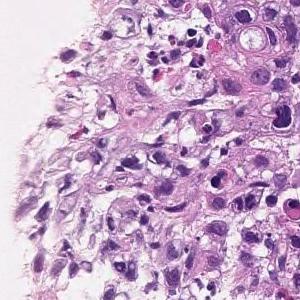
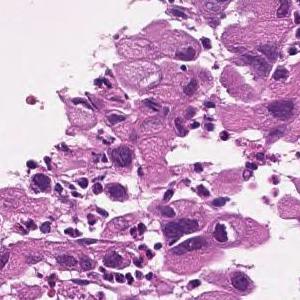
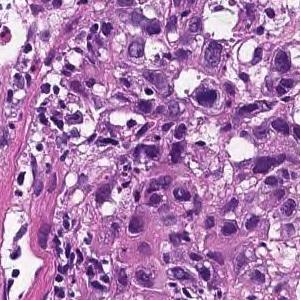
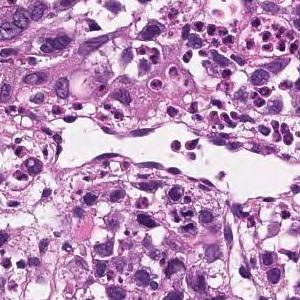
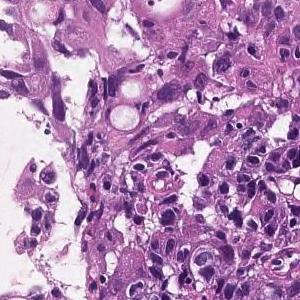
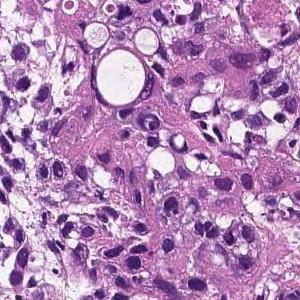
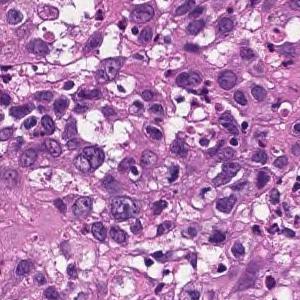
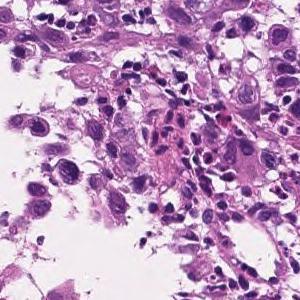
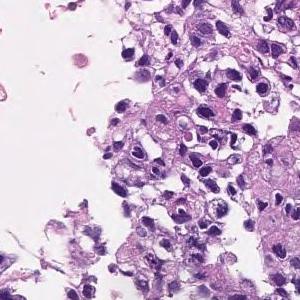
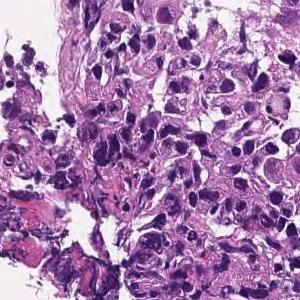
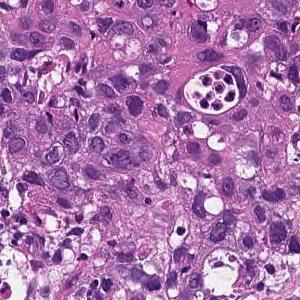
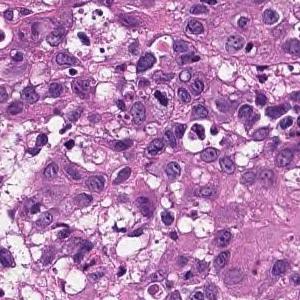
20× magnification · 12 tiles cut from one stomach biopsy slide.
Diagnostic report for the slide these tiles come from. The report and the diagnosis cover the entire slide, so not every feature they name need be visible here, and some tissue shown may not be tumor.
The superficial epithelium shows a large sheet-like shape, and some tumor tissue infiltrates with small irregular ducts. Poorly differentiated adenocarcinoma, solid-type
Subtype: Poorly differentiated adenocarcinoma, solid type (Japanese Classification of Gastric Carcinoma). The WHO 2019 equivalent is tubular adenocarcinoma, poorly differentiated.
